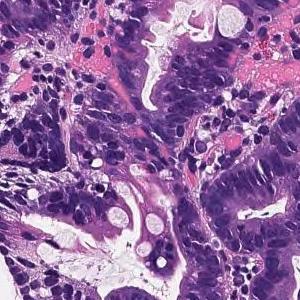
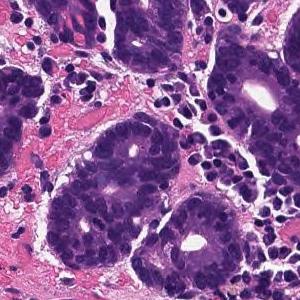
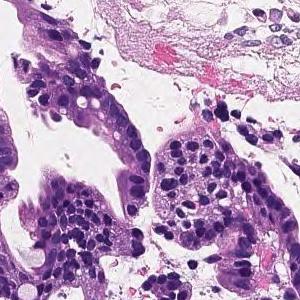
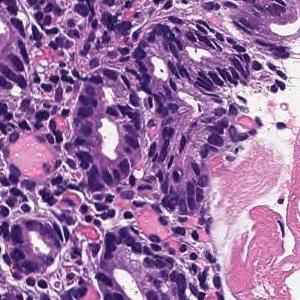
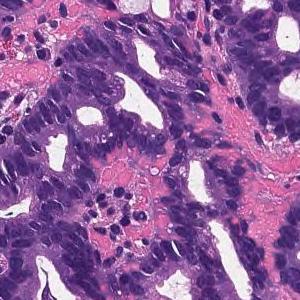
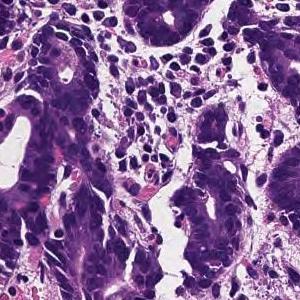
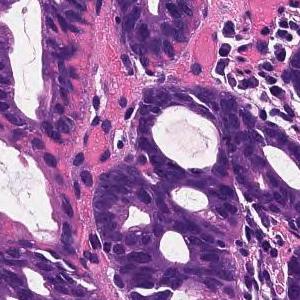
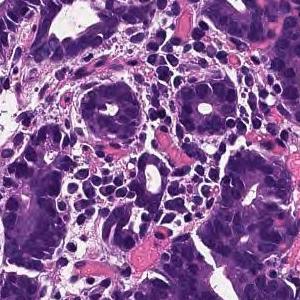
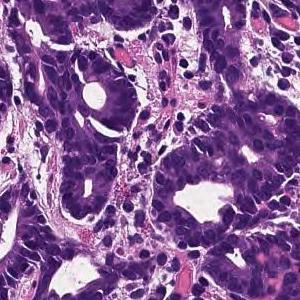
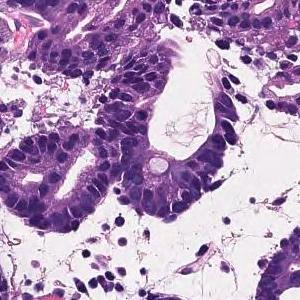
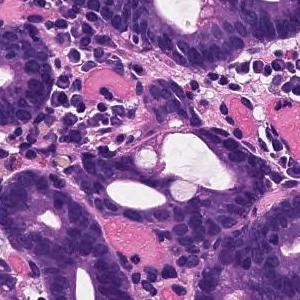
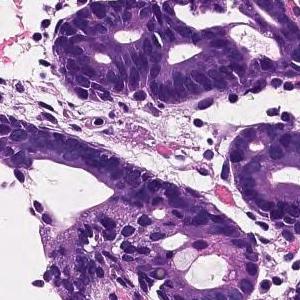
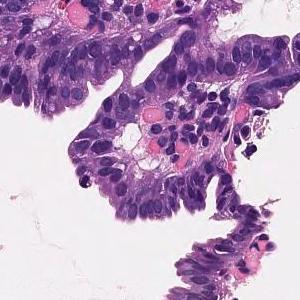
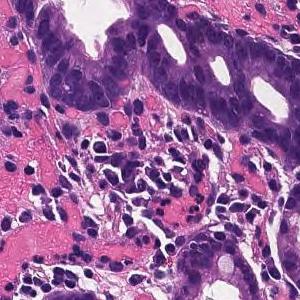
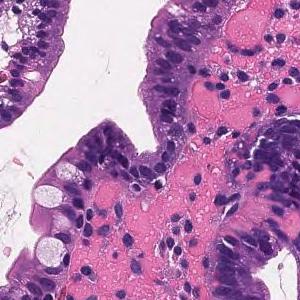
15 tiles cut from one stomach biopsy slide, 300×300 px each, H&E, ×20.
Report on the slide these tiles come from. The report and the diagnosis describe the slide as a whole, so these tiles may not show every feature named and may include non-tumor tissue.
On the superficial epithelium, tumor tissue is found in which medium-sized irregular gland ducts fuse with each other and infiltrate. moderately differentiated tubular adenocarcinoma
